9 tiles cut from one stomach biopsy slide · each 300 × 300 pixels · H&E stain.
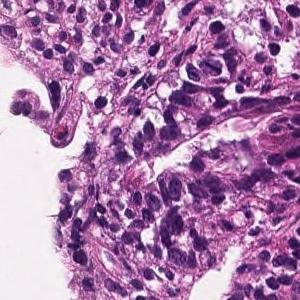
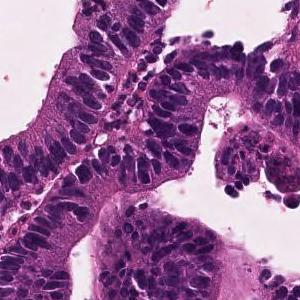
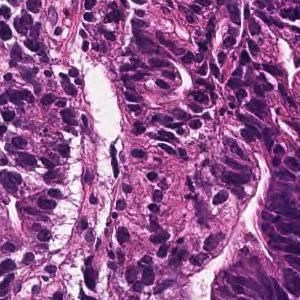
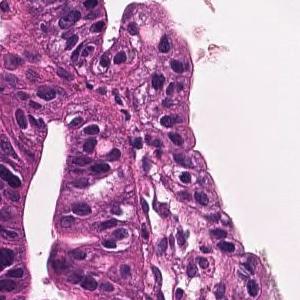
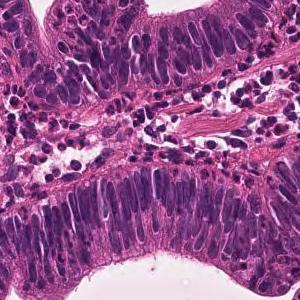
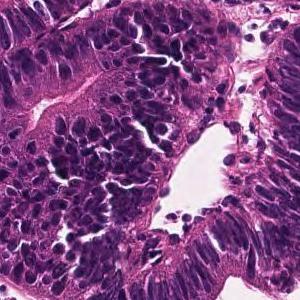
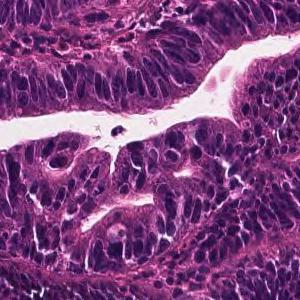
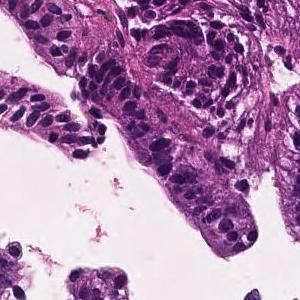
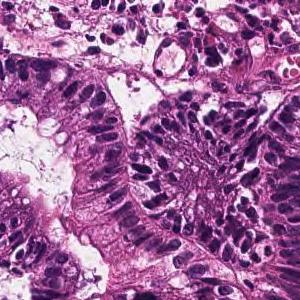
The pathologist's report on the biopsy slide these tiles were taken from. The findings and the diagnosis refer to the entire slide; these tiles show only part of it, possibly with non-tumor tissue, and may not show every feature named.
A large irregular tubular structure is exhibited in the epithelium, and tumor tissue that partially fuses and infiltrates and proliferates is observed. Large columnar tumor cells exhibit enlarged nucleus, hyperchromatism, and mitotic figures. Well differentiated tubular adenocarcinoma
